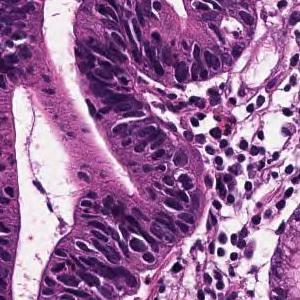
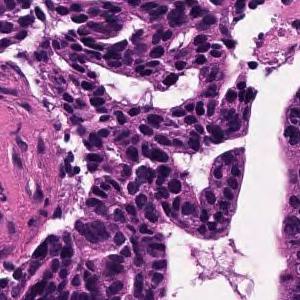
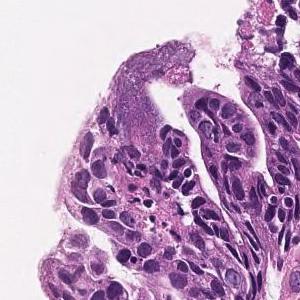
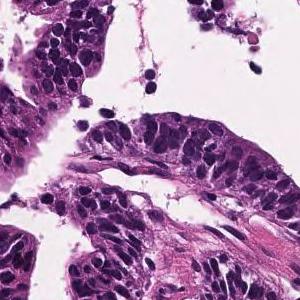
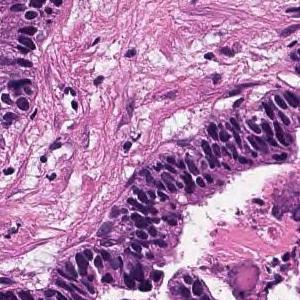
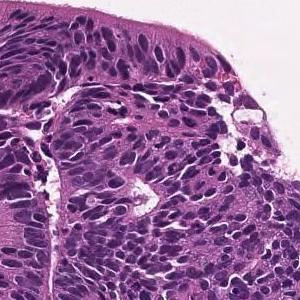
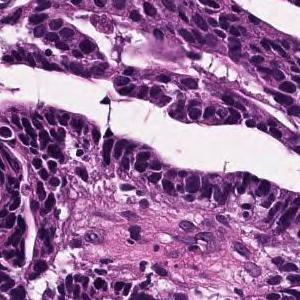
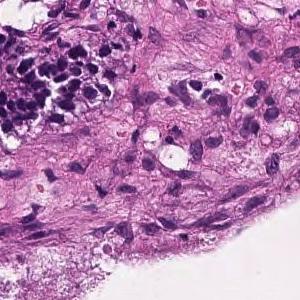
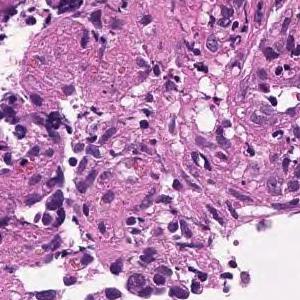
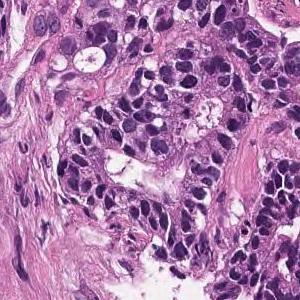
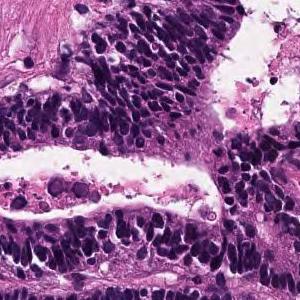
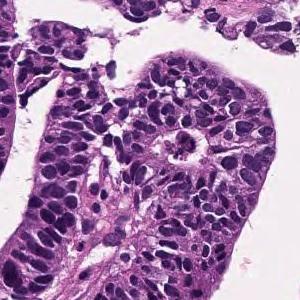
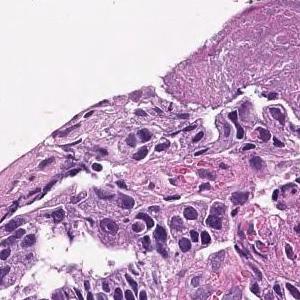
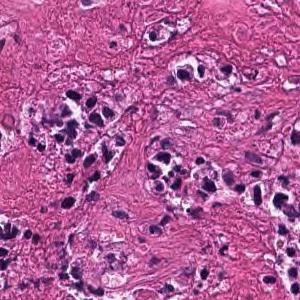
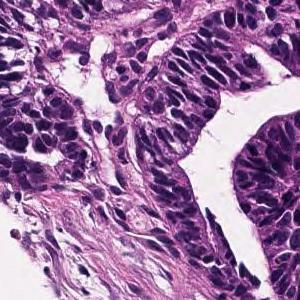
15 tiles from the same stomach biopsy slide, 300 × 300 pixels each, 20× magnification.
The pathologist's report on the biopsy slide these tiles were taken from. The findings and the diagnosis refer to the entire slide; these tiles show only part of it, possibly with non-tumor tissue, and may not show every feature named.
In the superficial epithelium, tumor tissue that invades by forming medium-sized to small, irregular ducts is observed. Well differentiated tubular adenocarcinoma.
